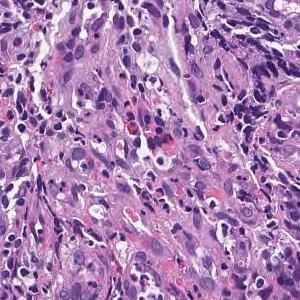
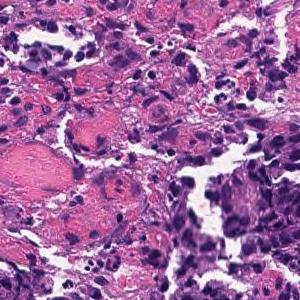
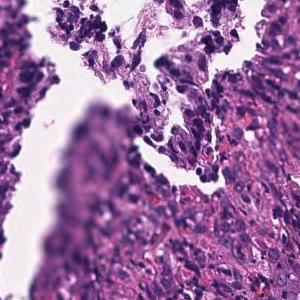
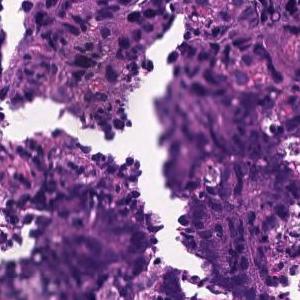
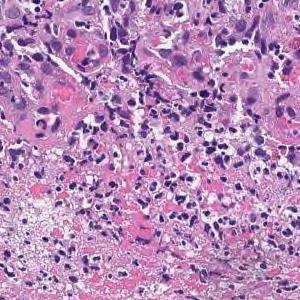
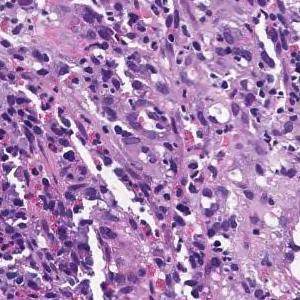
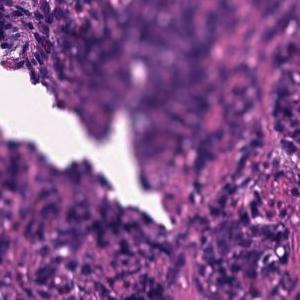
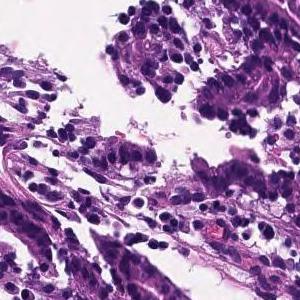
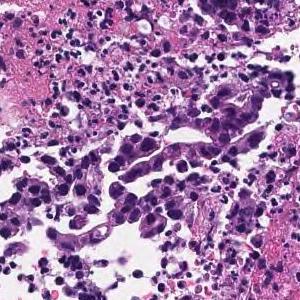
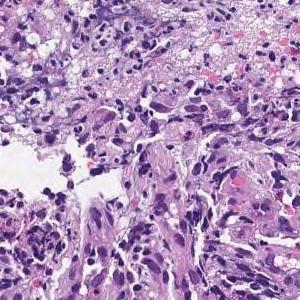
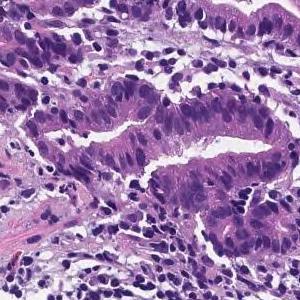
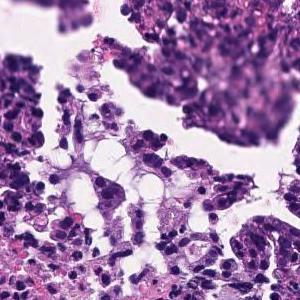
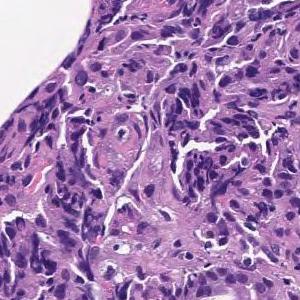
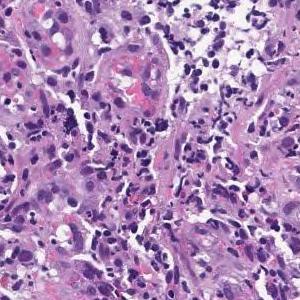
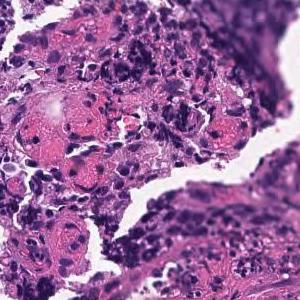
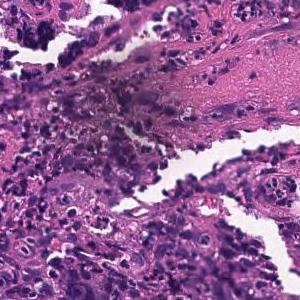
Scanned at ×20 · hematoxylin and eosin stain · 16 tiles cut from one stomach biopsy slide · each 300 × 300 pixels.
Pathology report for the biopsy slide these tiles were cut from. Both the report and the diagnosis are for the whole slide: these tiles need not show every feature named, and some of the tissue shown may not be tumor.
On the superficial epithelium, tumor tissue consisting of large irregular glandular ducts partially fused and infiltrated is observed. Well to moderately differentiated tubular adenocarcinoma (well differentiated tubular adenocarcinoma, moderately differentiated tubular adenocarcinoma)
Subtype: Well to moderately differentiated tubular adenocarcinoma.
